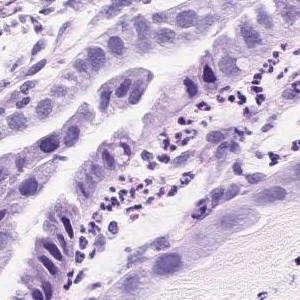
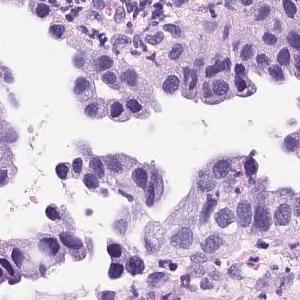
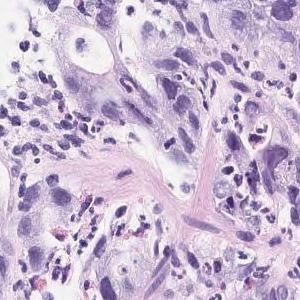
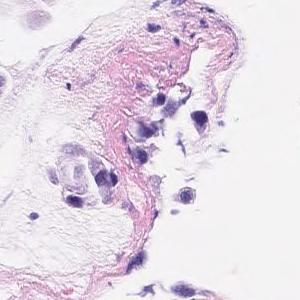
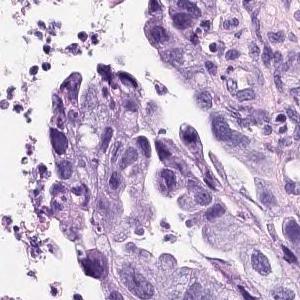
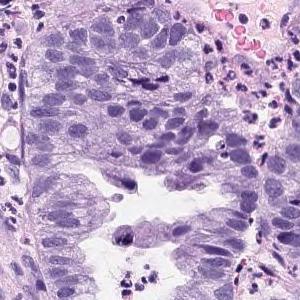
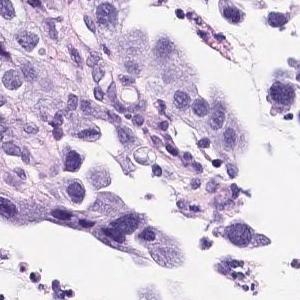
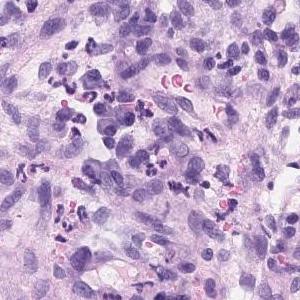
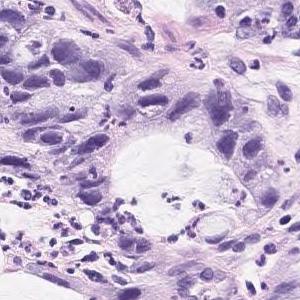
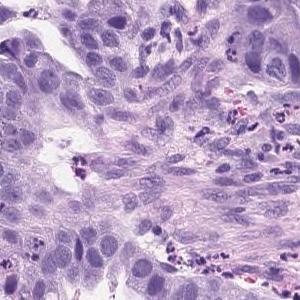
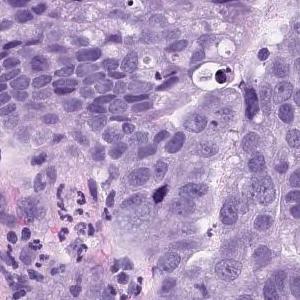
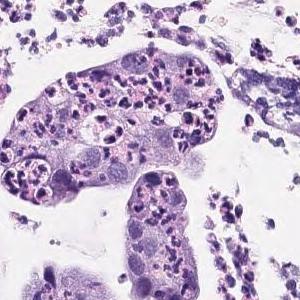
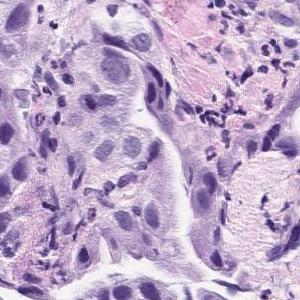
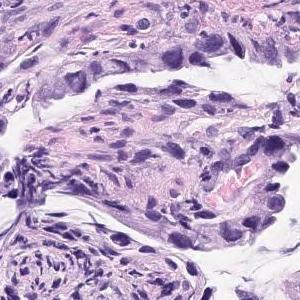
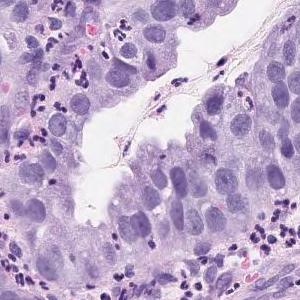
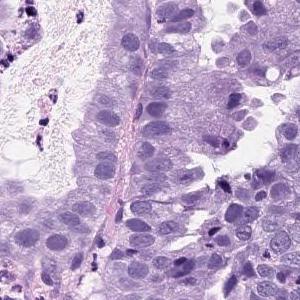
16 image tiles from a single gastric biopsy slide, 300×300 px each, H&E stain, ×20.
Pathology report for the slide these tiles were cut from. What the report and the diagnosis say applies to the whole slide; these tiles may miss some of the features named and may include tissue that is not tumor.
Atypical l cells with atypical nuclei forming solid or diffuse vesicles or small irregular atypical ducts and growing in a complex manner. Well differentiated tubular adenocarcinoma
